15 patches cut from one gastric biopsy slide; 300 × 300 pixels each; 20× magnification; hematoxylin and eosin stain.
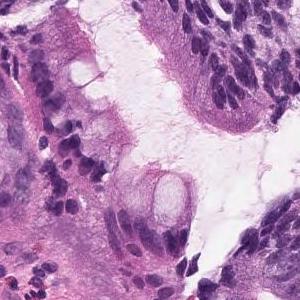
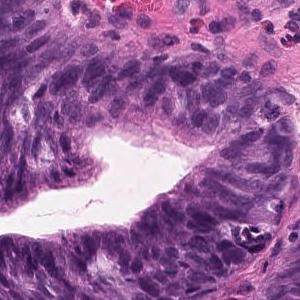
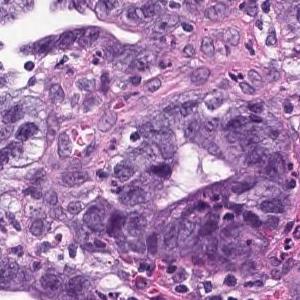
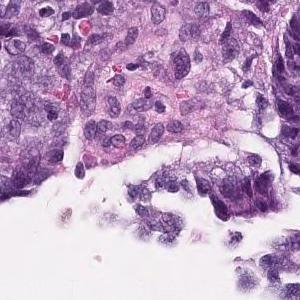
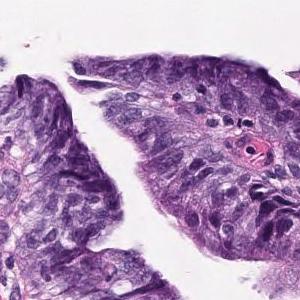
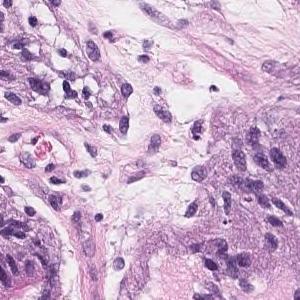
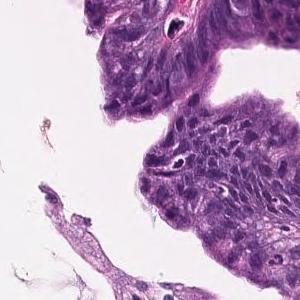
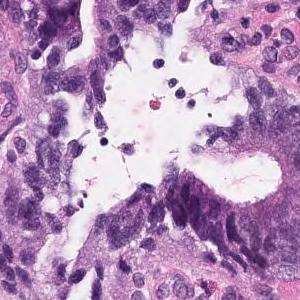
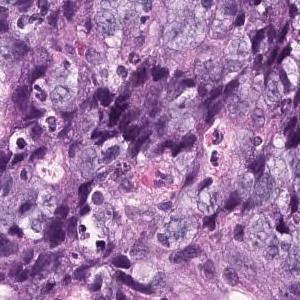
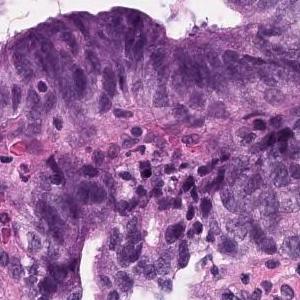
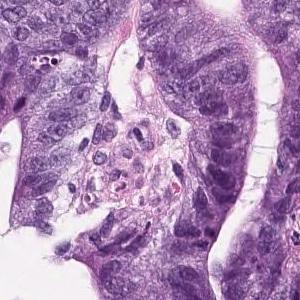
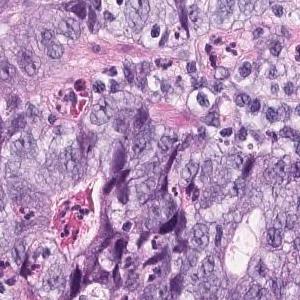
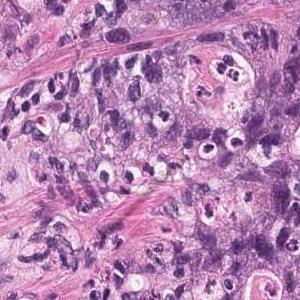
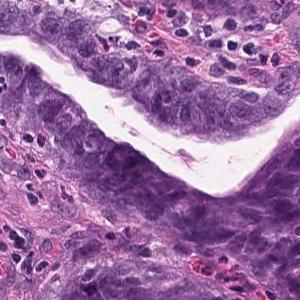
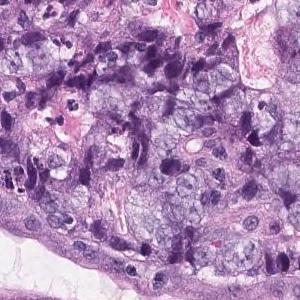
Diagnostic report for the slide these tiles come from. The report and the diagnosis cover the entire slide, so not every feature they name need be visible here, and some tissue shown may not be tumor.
Large atypical epithelial cells with swollen atypical nuclei are seen proliferating into a tubular fusion gland. moderately differentiated tubular adenocarcinoma
